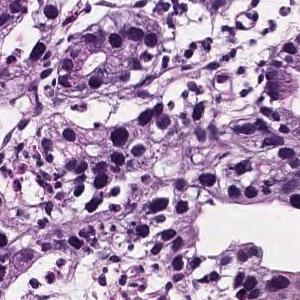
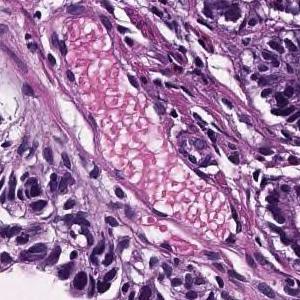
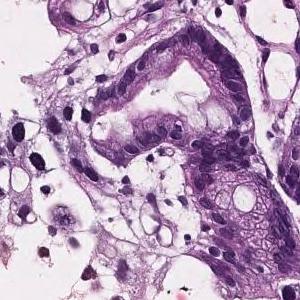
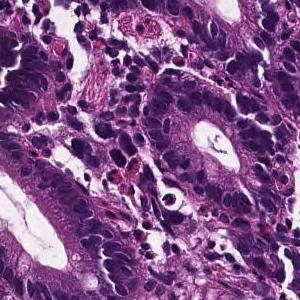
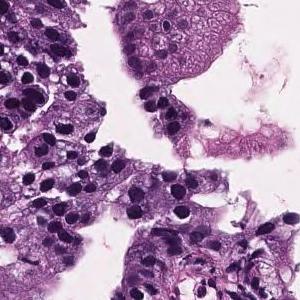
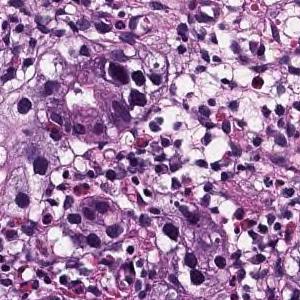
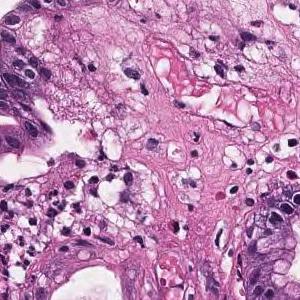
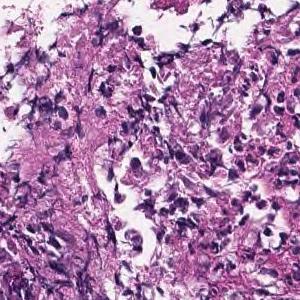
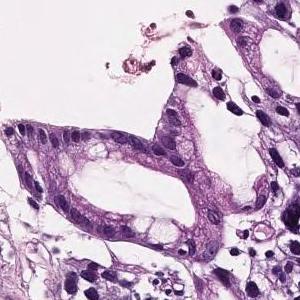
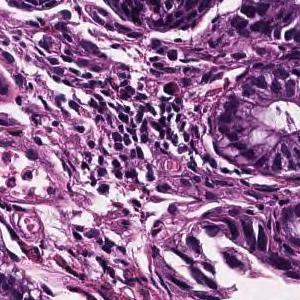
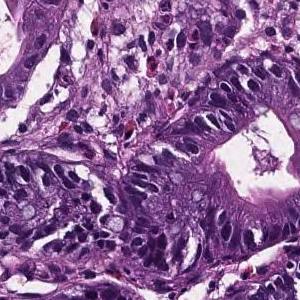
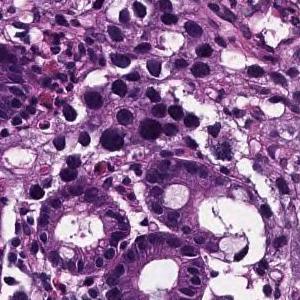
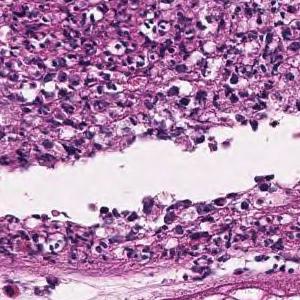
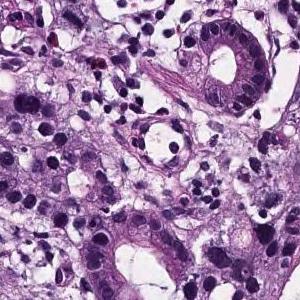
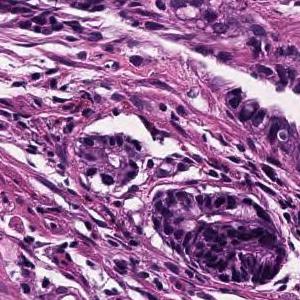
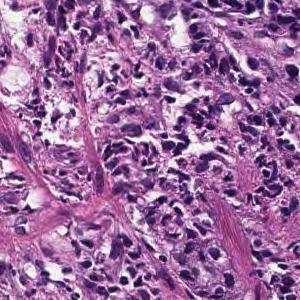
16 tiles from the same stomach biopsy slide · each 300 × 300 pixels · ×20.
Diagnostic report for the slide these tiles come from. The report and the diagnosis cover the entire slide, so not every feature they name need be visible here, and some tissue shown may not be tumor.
In the superficial epithelium, medium to small irregular gland ducts are formed, and in some cases, the ducts are fused to show solid alveolar lesions and infiltrating tumor tissue is observed. Moderately to poorly differentiated adenocarcinoma
